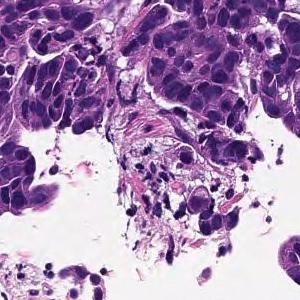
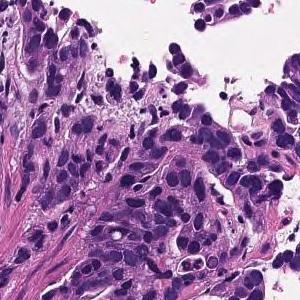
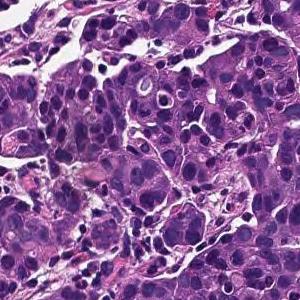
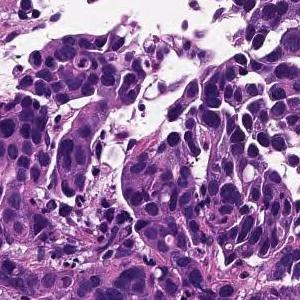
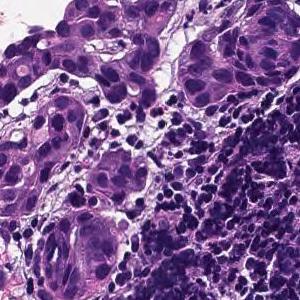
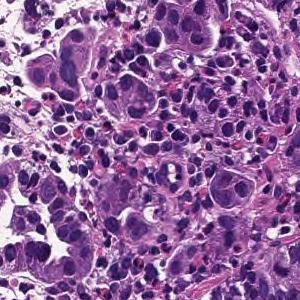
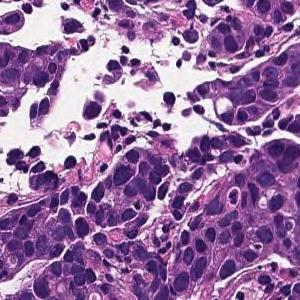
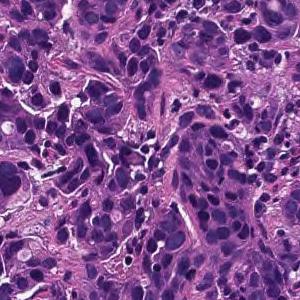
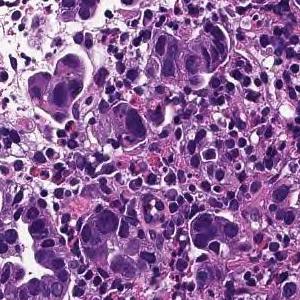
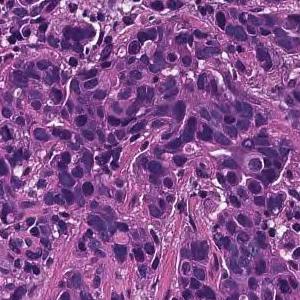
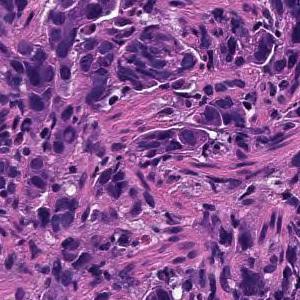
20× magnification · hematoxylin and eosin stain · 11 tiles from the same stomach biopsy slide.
Pathology report for the biopsy slide these tiles were cut from. The report and the diagnosis describe the slide as a whole, so these tiles may not show every feature named and may include non-tumor tissue.
The superficial epithelium shows small cord-like infiltrating tumor tissue. There is no mucin production in tumor cells. Poorly differentiated adenocarcinoma, non-solid type
The term "non-solid type" comes from the Japanese Classification of Gastric Carcinoma.
